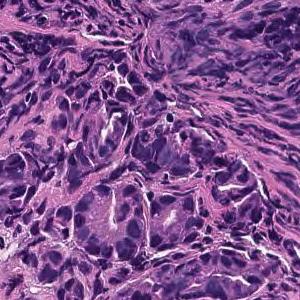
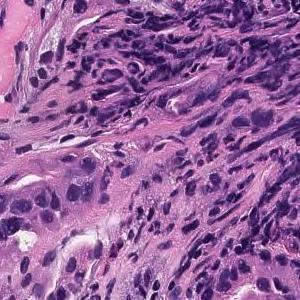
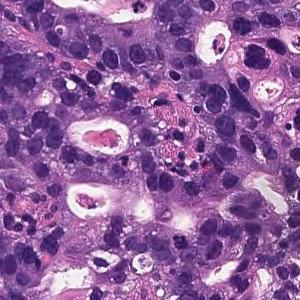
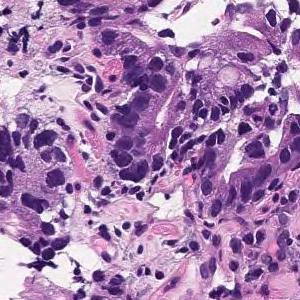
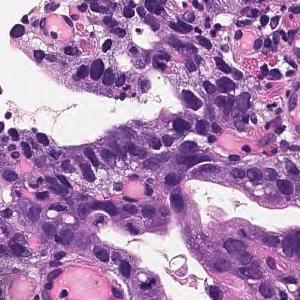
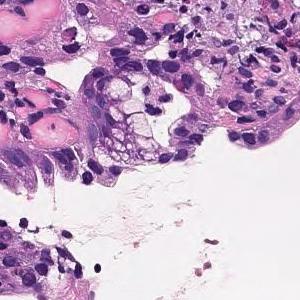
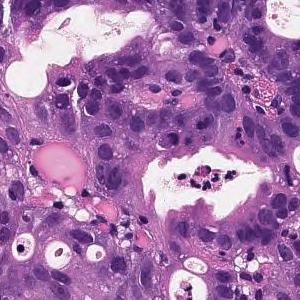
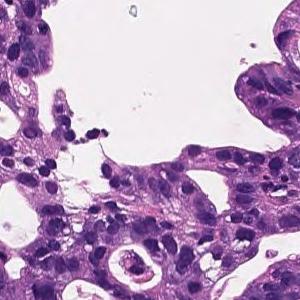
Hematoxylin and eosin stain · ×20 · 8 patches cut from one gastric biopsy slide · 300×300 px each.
Report on the slide these tiles come from. The report and the diagnosis cover the entire slide, so not every feature they name need be visible here, and some tissue shown may not be tumor.
On the superficial epithelium, tumor tissue consisting of large, irregular glandular ducts partially fused and infiltrated is observed. Well to moderately differentiated tubular adenocarcinoma (well differentiated tubular adenocarcinoma, moderately differentiated tubular adenocarcinoma)
Tumor subtype: well to moderately differentiated tubular adenocarcinoma.
